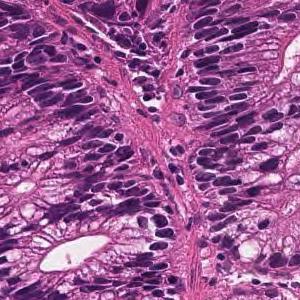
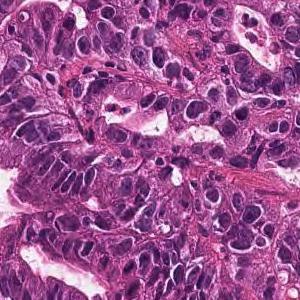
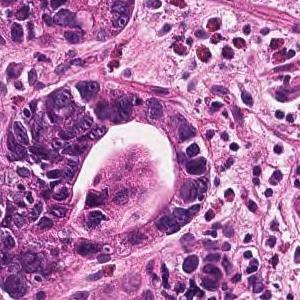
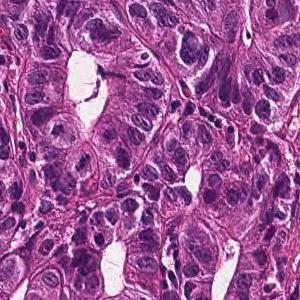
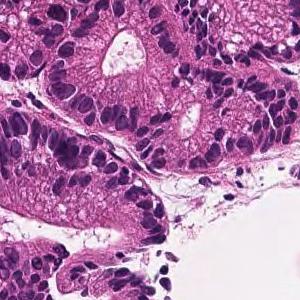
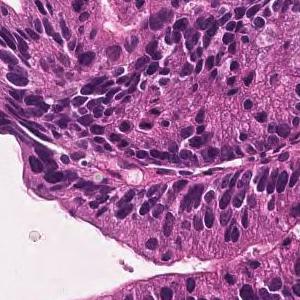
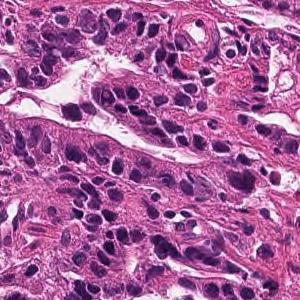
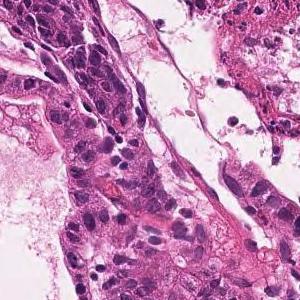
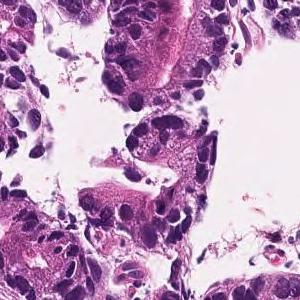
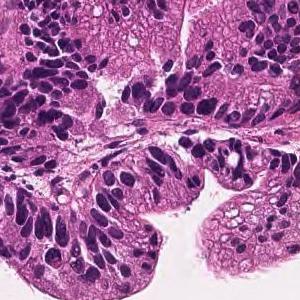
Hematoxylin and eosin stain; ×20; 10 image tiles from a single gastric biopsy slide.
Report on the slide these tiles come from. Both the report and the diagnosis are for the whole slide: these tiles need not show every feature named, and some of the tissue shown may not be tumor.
In the superficial epithelium, tumor tissue that invades by forming medium-sized to small, irregular ducts is observed. moderately differentiated tubular adenocarcinoma.
